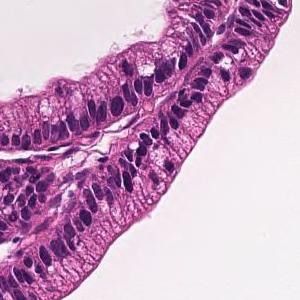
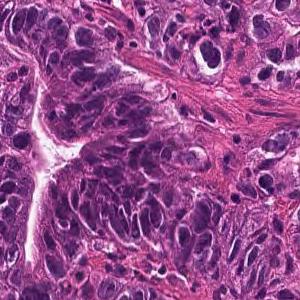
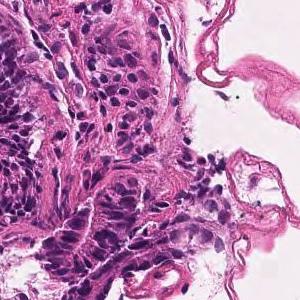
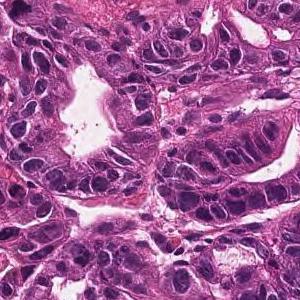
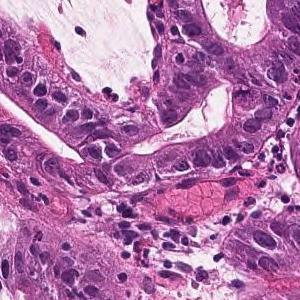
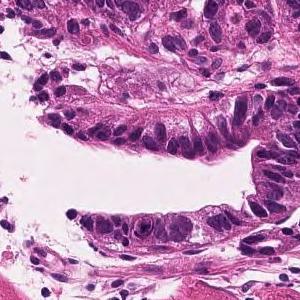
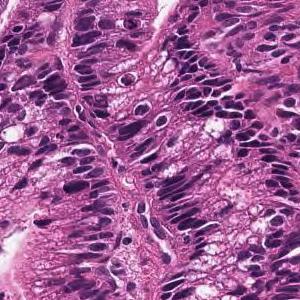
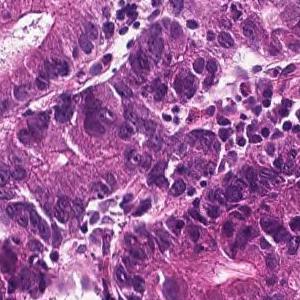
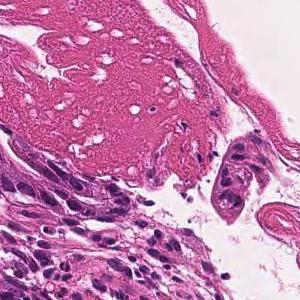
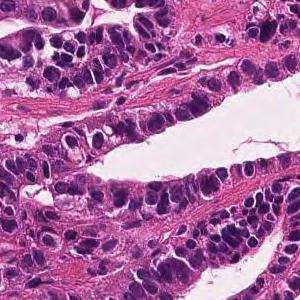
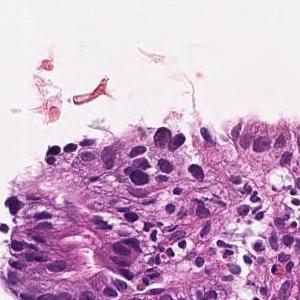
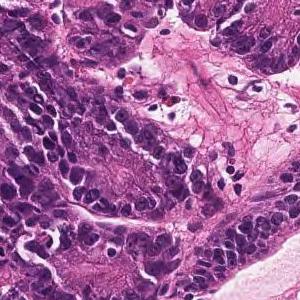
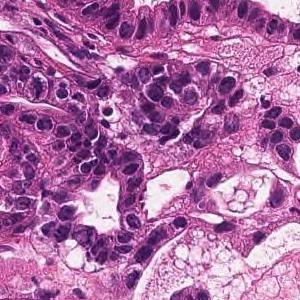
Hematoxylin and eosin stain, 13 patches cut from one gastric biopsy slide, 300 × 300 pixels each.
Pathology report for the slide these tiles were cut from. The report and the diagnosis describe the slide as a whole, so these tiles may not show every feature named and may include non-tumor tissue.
In the superficial epithelium, tumor tissue that invades by forming medium-sized to small, irregular ducts is observed. moderately differentiated tubular adenocarcinoma.
